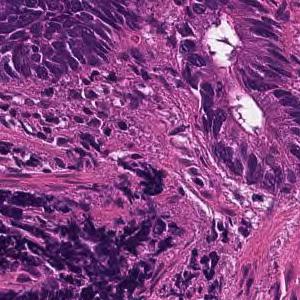
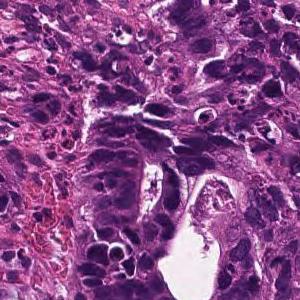
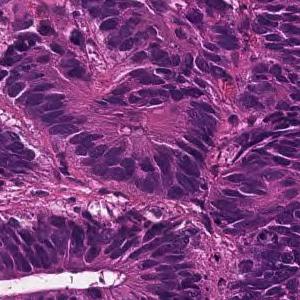
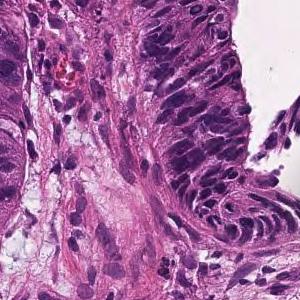
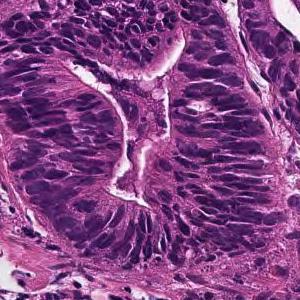
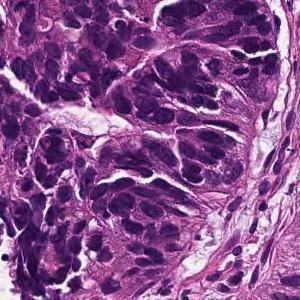
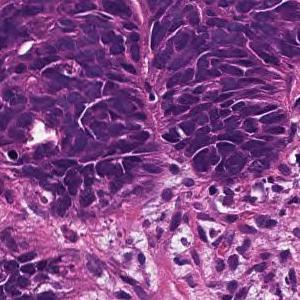
H&E stain · scanned at ×20 · 7 tiles from the same stomach biopsy slide.
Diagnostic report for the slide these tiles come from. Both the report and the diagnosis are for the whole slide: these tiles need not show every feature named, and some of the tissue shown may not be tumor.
In the superficial epithelium, tumor tissue that invades by forming medium-sized to small, irregular ducts is observed. moderately differentiated tubular adenocarcinoma.
